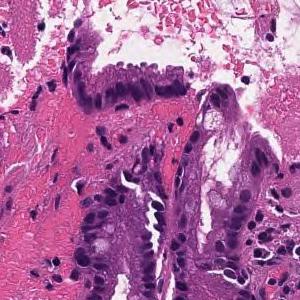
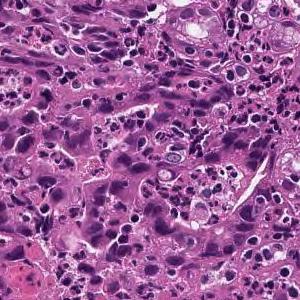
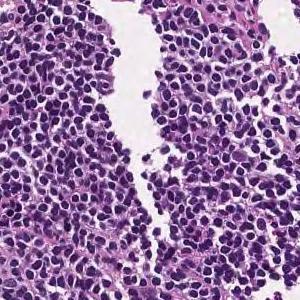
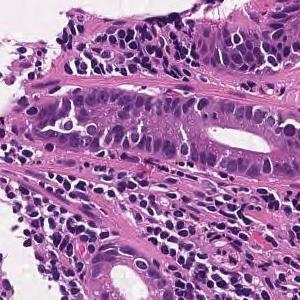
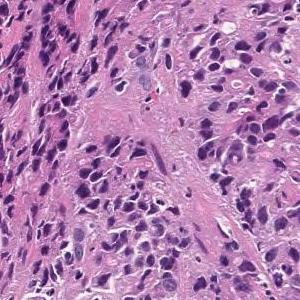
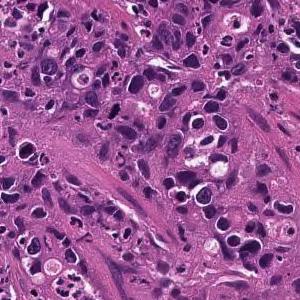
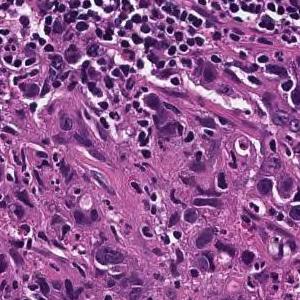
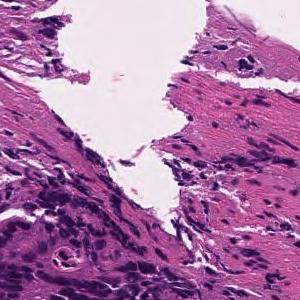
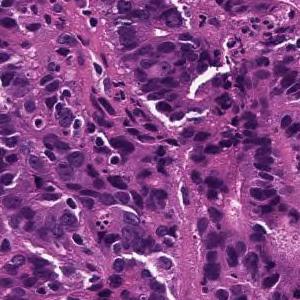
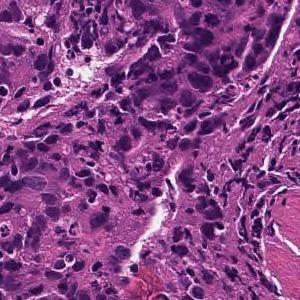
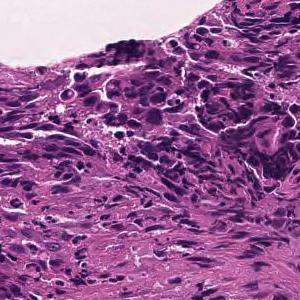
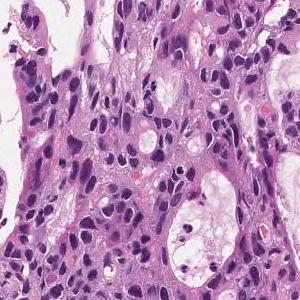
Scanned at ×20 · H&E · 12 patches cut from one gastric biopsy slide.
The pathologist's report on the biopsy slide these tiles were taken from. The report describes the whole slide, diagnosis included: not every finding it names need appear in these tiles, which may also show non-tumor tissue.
In the superficial epithelium, tumor tissue that invades by forming medium-sized to small, irregular ducts is observed. moderately differentiated tubular adenocarcinoma.
